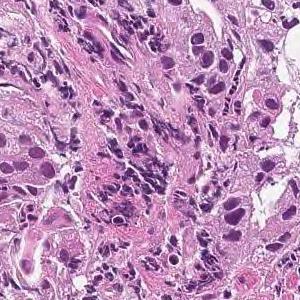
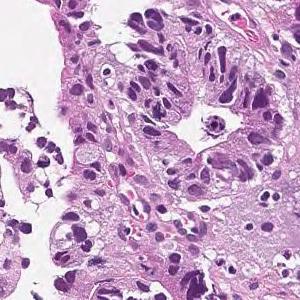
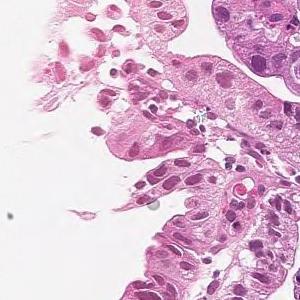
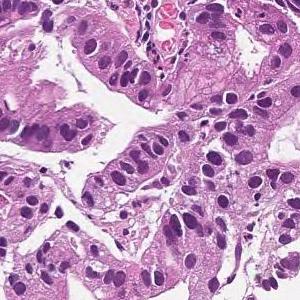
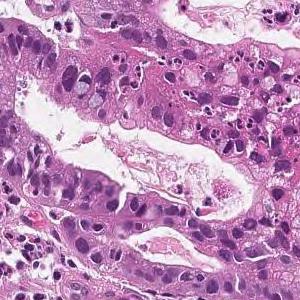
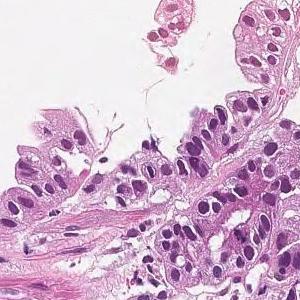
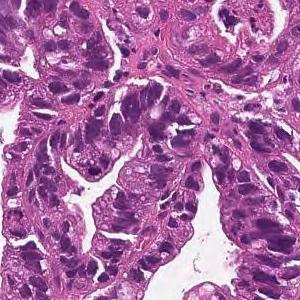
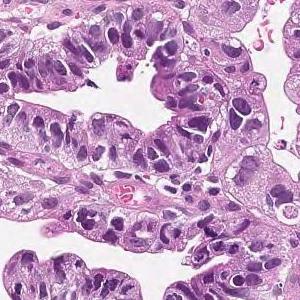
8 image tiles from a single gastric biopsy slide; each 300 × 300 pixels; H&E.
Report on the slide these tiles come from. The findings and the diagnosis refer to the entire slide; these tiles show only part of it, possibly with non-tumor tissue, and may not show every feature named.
On the superficial epithelium, tumor tissue that infiltrates by forming medium-sized papillary or small irregular ducts is observed. Papillary adenocarcinoma
